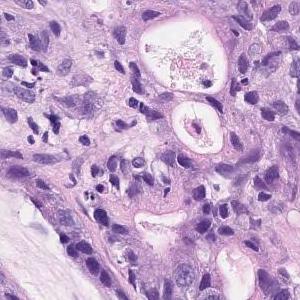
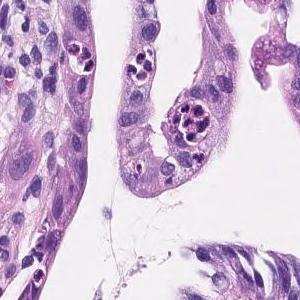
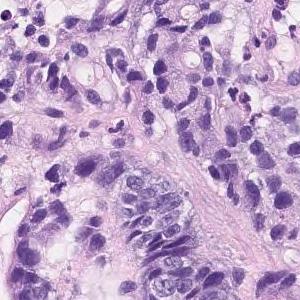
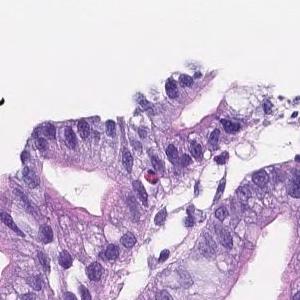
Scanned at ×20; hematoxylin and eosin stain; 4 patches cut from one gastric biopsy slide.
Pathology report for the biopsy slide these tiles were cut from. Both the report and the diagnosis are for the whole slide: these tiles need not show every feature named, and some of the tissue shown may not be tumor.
Irregularly fused atypical ducts proliferating while replacing existing ducts was observed. moderately differentiated tubular adenocarcinoma
